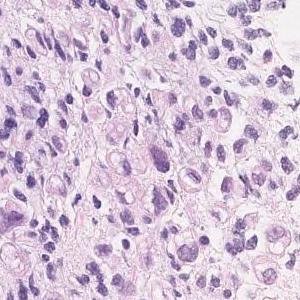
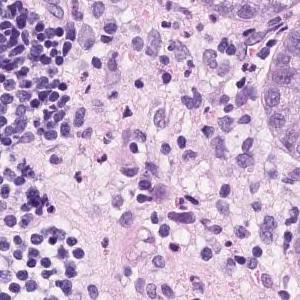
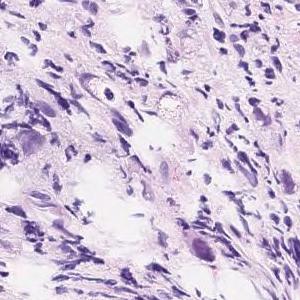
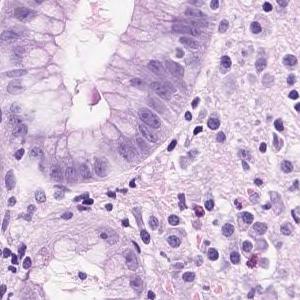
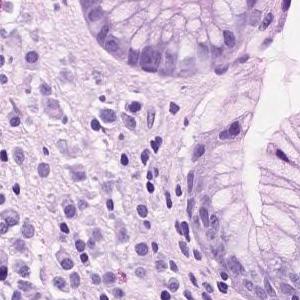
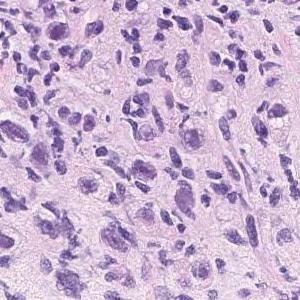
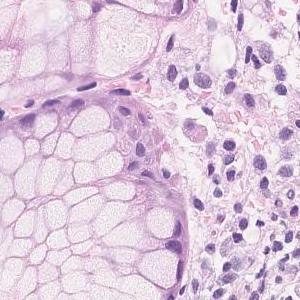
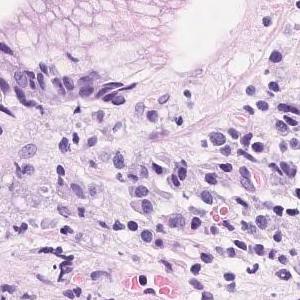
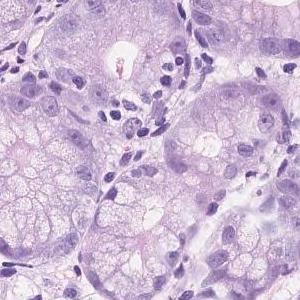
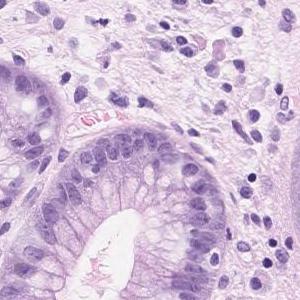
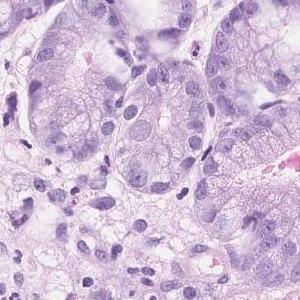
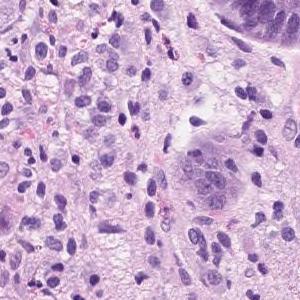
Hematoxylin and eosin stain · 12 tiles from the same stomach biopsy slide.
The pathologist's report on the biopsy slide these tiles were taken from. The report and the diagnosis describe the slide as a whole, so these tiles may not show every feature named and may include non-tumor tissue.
Group 5, Adenocarcinoma. Poorly differentiated adenocarcinoma, non-solid type
"Non-solid type" is a category of the Japanese Classification of Gastric Carcinoma.
